×20, H&E, 15 image tiles from a single gastric biopsy slide, 300 × 300 pixels each.
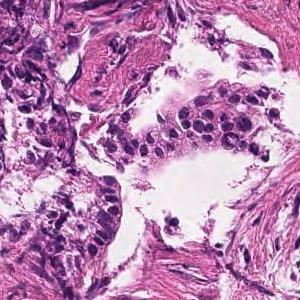
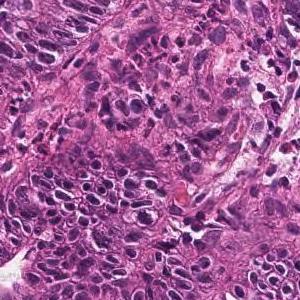
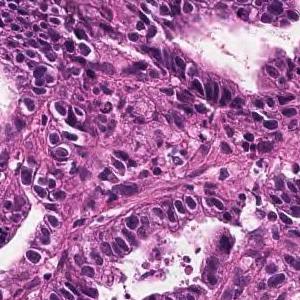
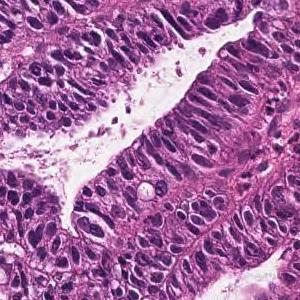
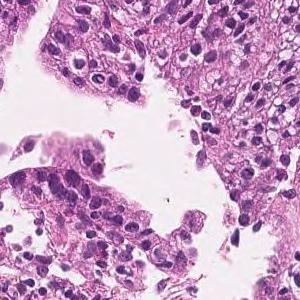
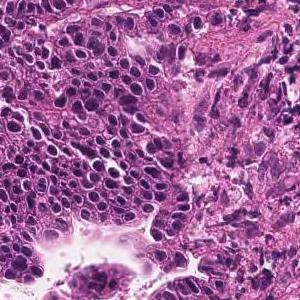
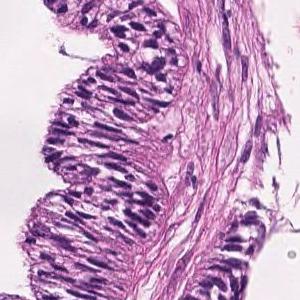
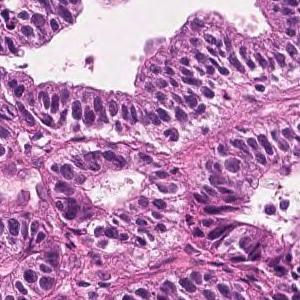
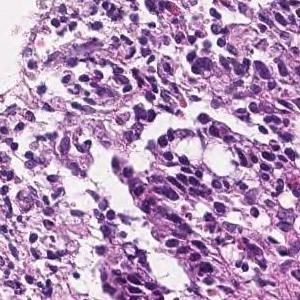
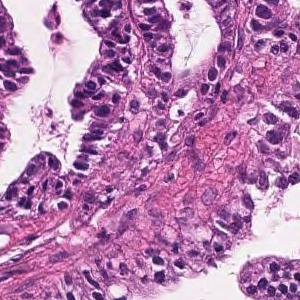
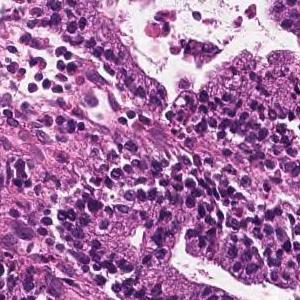
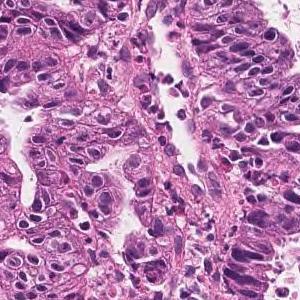
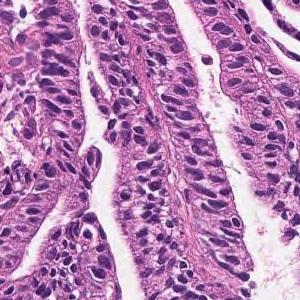
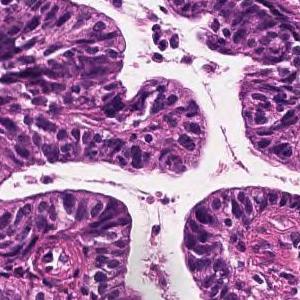
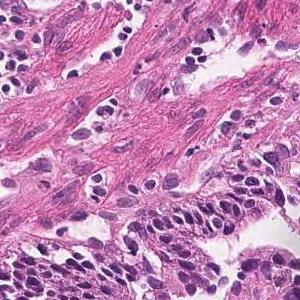
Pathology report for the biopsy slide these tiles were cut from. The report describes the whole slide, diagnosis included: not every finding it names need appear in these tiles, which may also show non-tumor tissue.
Tumor cells are large, highly columnar, large club-shaped nuclei, and are associated with chromatin aggregation. Papillary adenocarcinoma.
